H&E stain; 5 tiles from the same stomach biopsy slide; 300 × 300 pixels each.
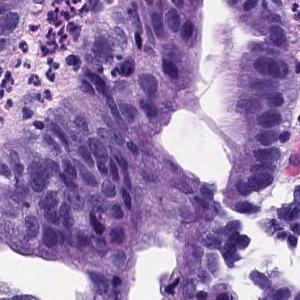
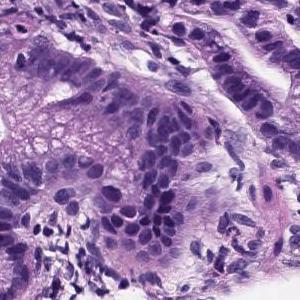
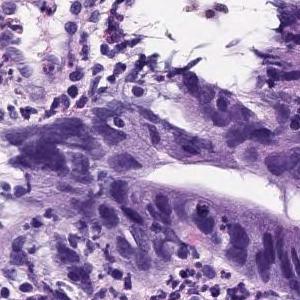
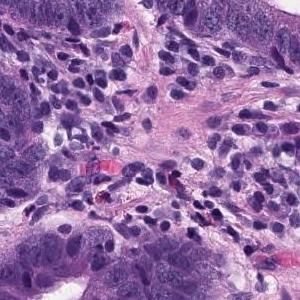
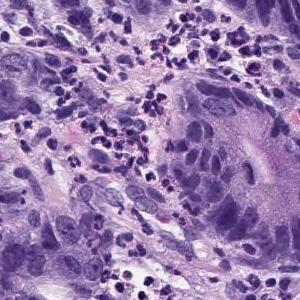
Diagnostic report for the slide these tiles come from. Both the report and the diagnosis are for the whole slide: these tiles need not show every feature named, and some of the tissue shown may not be tumor.
Tumor tissue consisting of large papillary structures is found in the superficial epithelium. Papillary adenocarcinoma.
